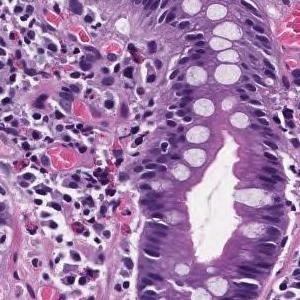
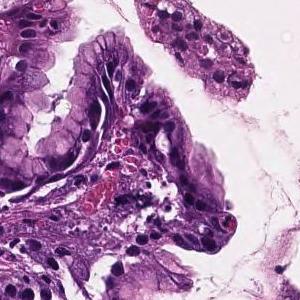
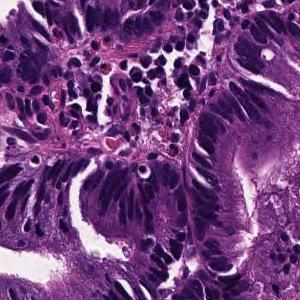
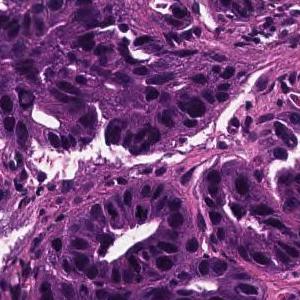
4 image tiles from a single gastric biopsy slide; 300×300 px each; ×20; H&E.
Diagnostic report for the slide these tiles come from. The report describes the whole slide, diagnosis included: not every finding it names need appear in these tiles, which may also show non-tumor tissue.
Tumor cells are large, highly columnar, large club-shaped nuclei, and are associated with chromatin aggregation. Papillary adenocarcinoma.
